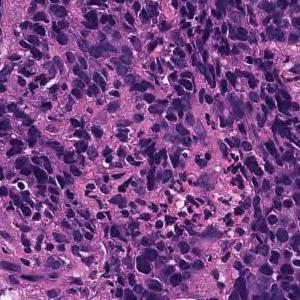
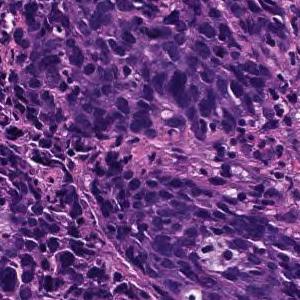
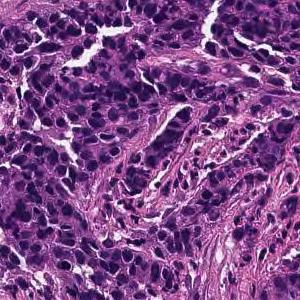
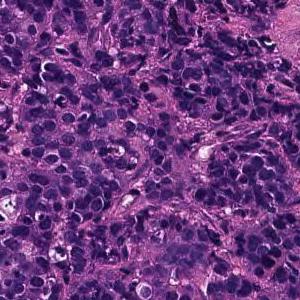
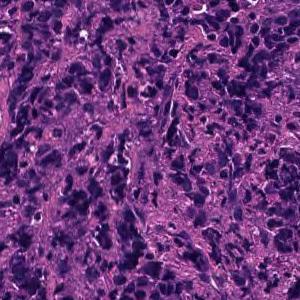
H&E · scanned at ×20 · 5 tiles cut from one stomach biopsy slide.
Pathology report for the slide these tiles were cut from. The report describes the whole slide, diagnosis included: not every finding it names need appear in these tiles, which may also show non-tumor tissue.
Tumor tissue consisting of cord-like or small, irregular glandular ducts fused and infiltrated is observed in the superficial epithelium. Poorly differentiated adenocarcinoma, non-solid type
The term "non-solid type" comes from the Japanese Classification of Gastric Carcinoma.
